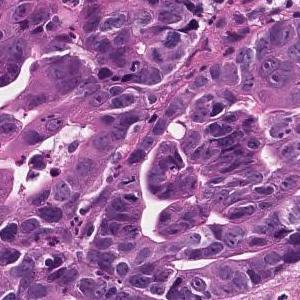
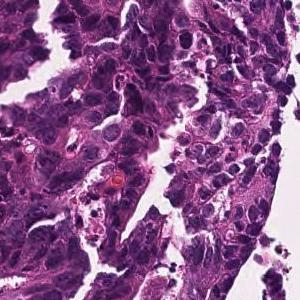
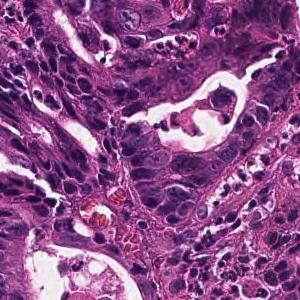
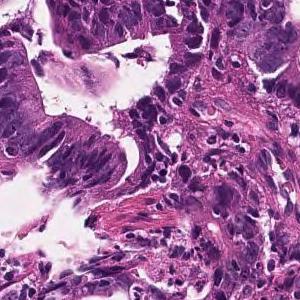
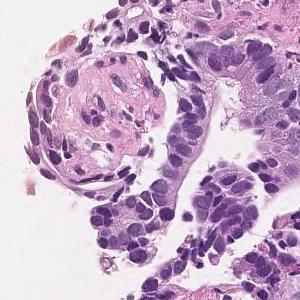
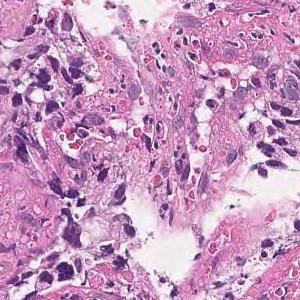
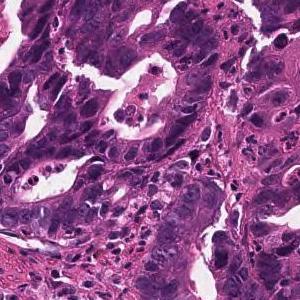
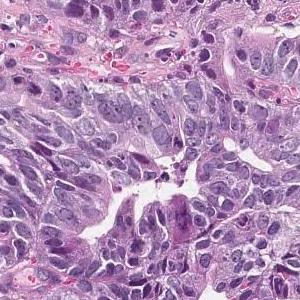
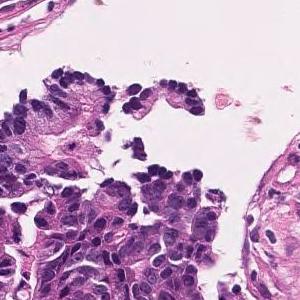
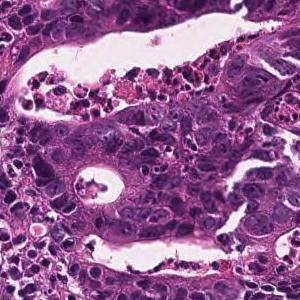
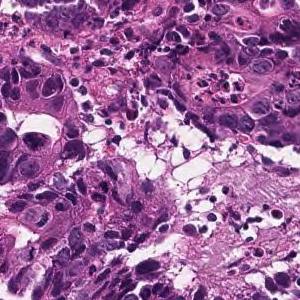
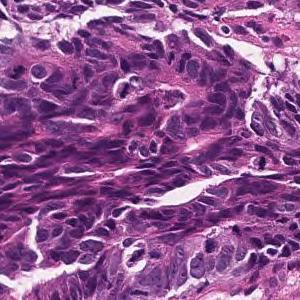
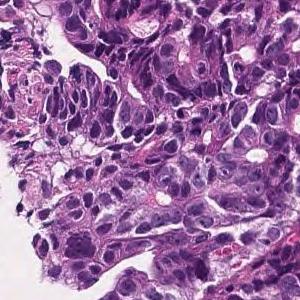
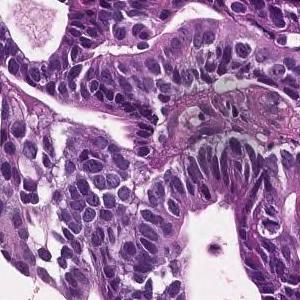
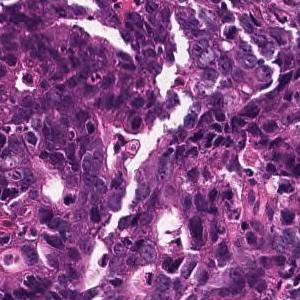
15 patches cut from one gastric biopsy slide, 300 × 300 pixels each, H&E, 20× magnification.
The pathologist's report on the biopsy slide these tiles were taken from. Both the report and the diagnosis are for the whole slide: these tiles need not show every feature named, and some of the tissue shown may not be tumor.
In the superficial epithelium, tumor tissue that invades by forming medium-sized to small, irregular ducts is observed. moderately differentiated tubular adenocarcinoma.
